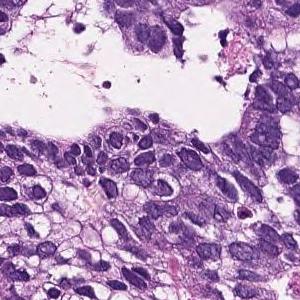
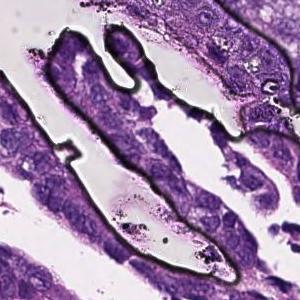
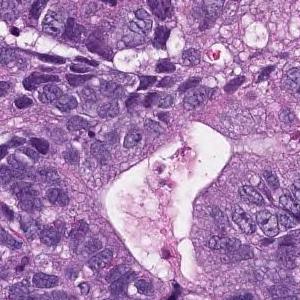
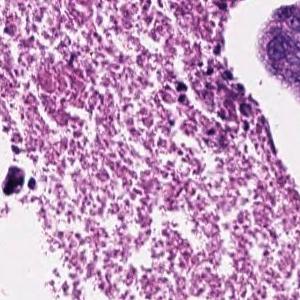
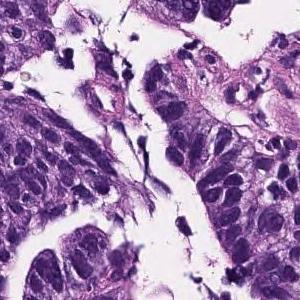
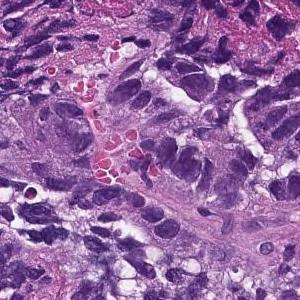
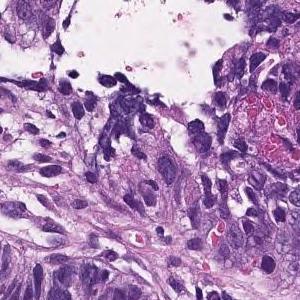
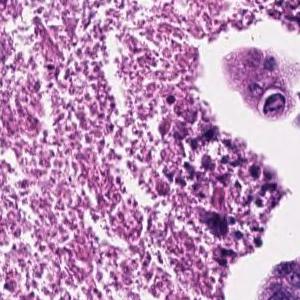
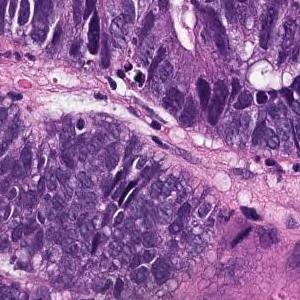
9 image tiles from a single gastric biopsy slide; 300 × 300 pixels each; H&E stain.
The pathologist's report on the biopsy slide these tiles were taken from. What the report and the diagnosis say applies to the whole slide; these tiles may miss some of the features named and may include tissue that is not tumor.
In the superficial epithelium, tumor tissue that invades by forming medium-sized to small, irregular ducts is observed. moderately differentiated tubular adenocarcinoma.
